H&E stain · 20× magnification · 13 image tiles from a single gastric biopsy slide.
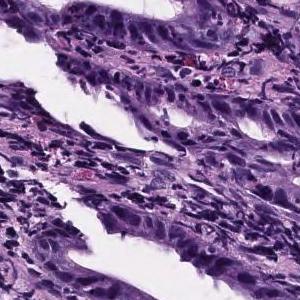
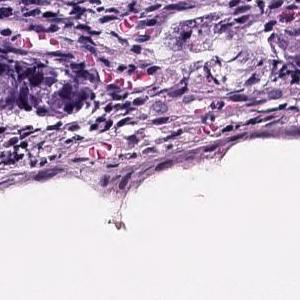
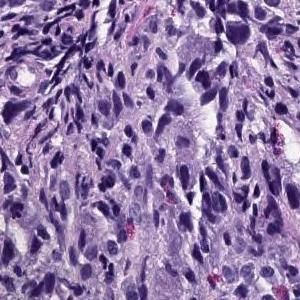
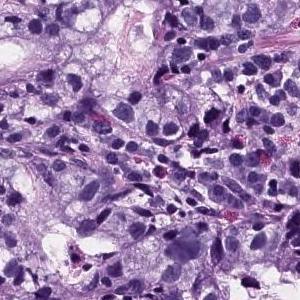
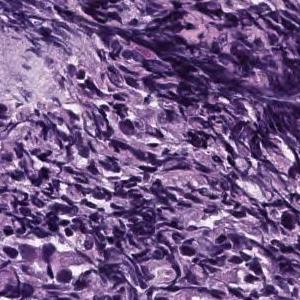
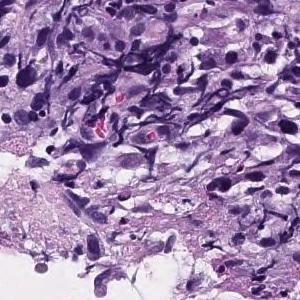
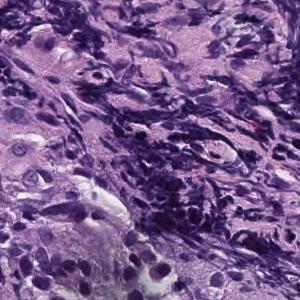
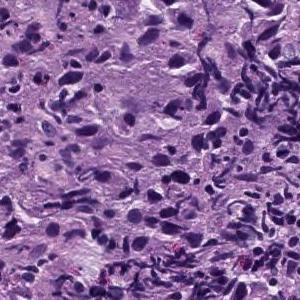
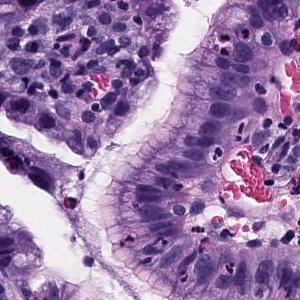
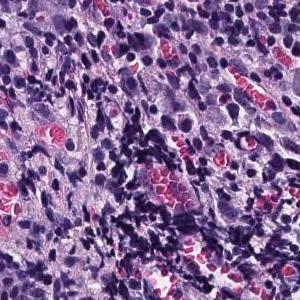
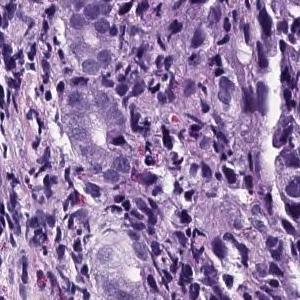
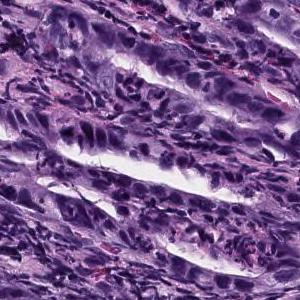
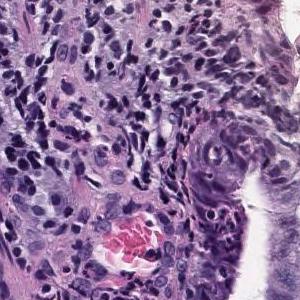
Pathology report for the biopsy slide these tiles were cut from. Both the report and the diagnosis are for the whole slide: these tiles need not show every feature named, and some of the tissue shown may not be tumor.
Atypical epithelial cells infiltrating and proliferating while forming solid or cord-like fused glandular cavities of different sizes is observed. moderately differentiated tubular adenocarcinoma, poorly differentiated adenocarcinoma.
Histological subtype: Moderately to poorly differentiated adenocarcinoma.
